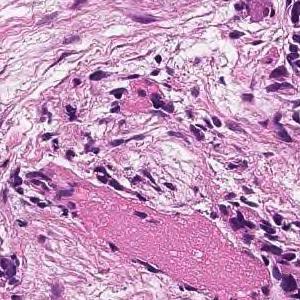
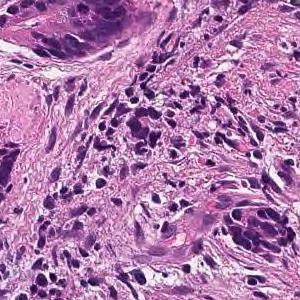
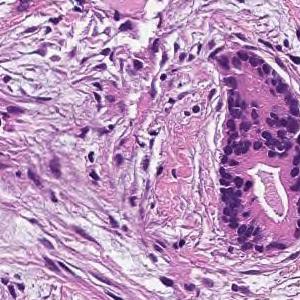
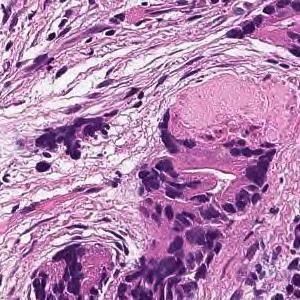
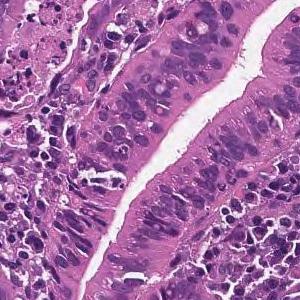
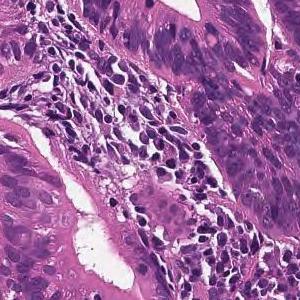
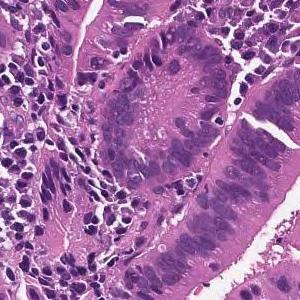
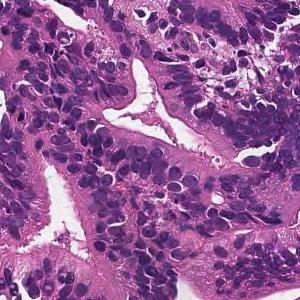
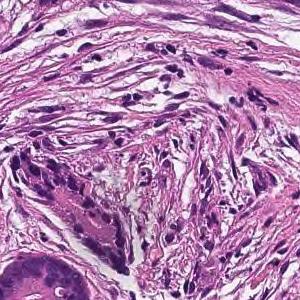
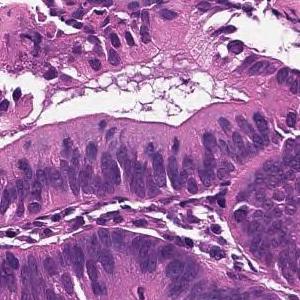
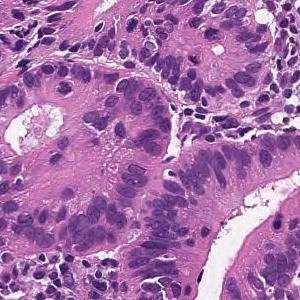
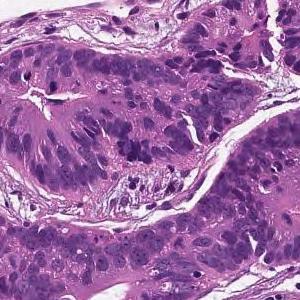
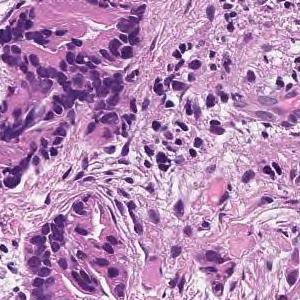
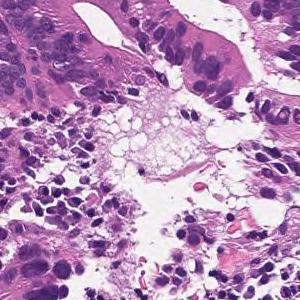
14 patches cut from one gastric biopsy slide; 300 × 300 pixels each; hematoxylin and eosin stain.
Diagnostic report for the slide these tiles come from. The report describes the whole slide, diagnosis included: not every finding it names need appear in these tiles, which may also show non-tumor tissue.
From the superficial epithelium to the muscularis mucosae, tumor tissue consisting of medium-sized and irregular glandular ducts infiltrating is observed. Well differentiated tubular adenocarcinoma
